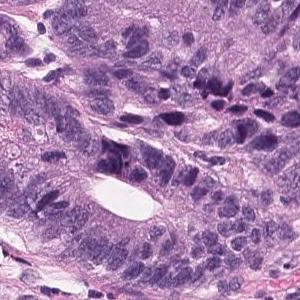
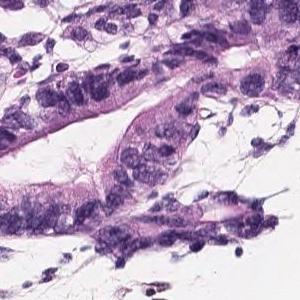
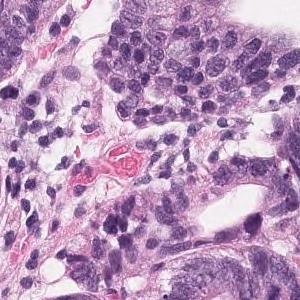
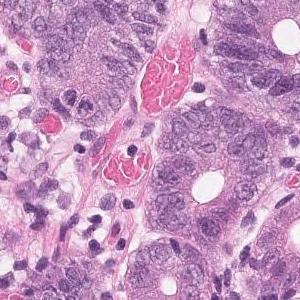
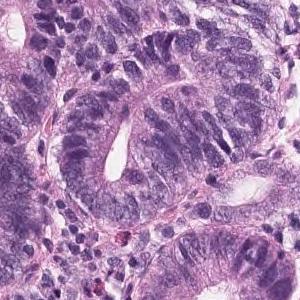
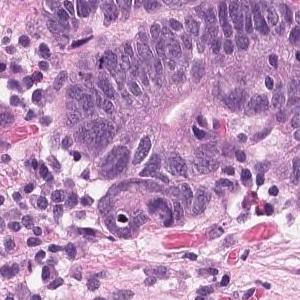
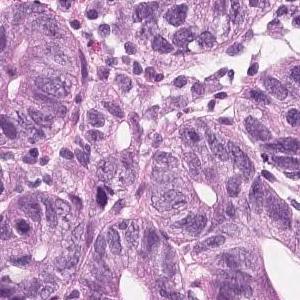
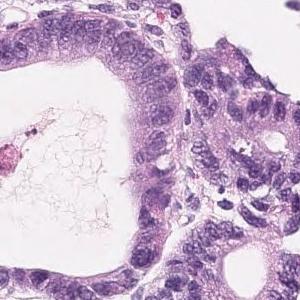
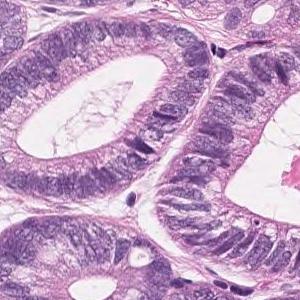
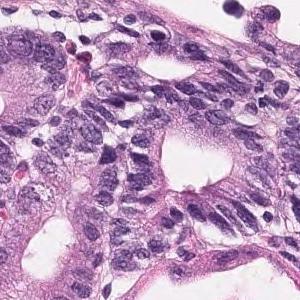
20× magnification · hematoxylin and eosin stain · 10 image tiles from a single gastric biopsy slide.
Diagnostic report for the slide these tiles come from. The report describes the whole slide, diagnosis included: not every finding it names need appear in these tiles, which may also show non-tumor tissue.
Atypical ducts with severe atypia are densely populated in the superficial epithelium, and tumor tissue with hyperplasia is observed. Well differentiated tubular adenocarcinoma
